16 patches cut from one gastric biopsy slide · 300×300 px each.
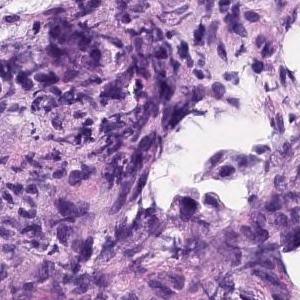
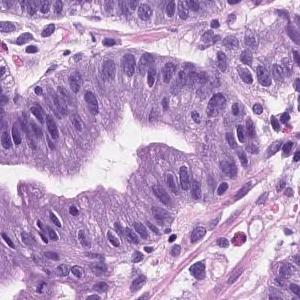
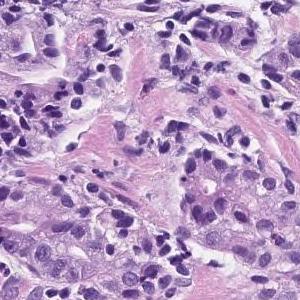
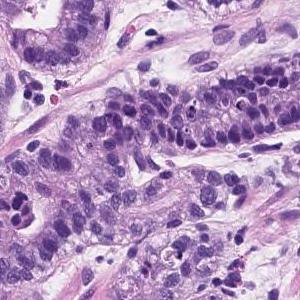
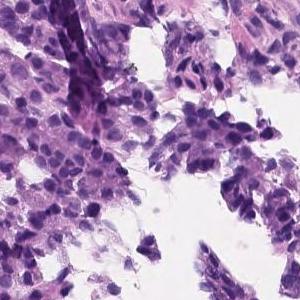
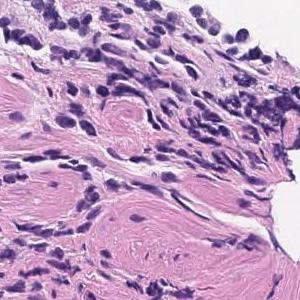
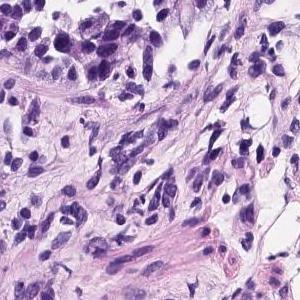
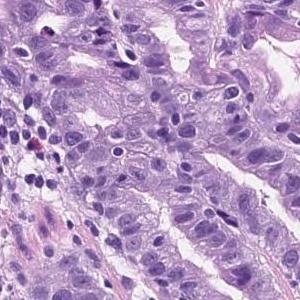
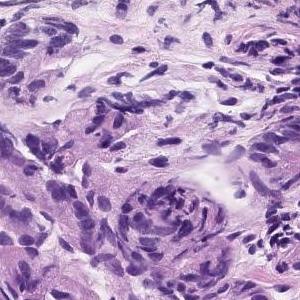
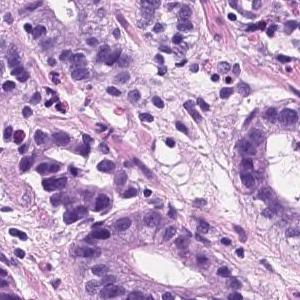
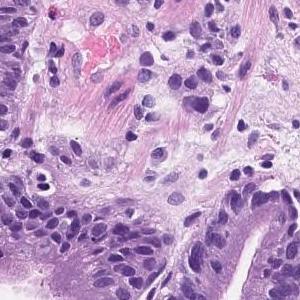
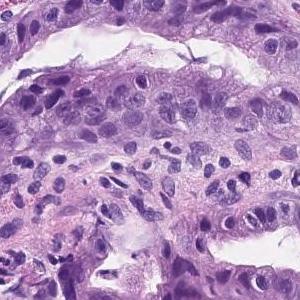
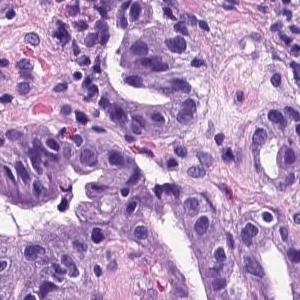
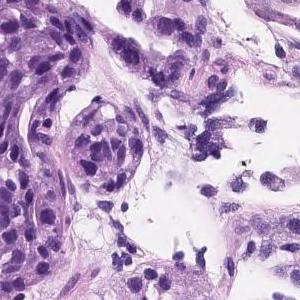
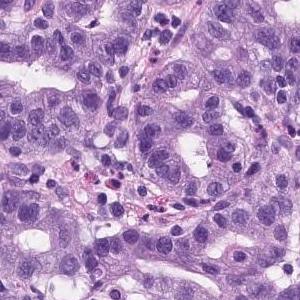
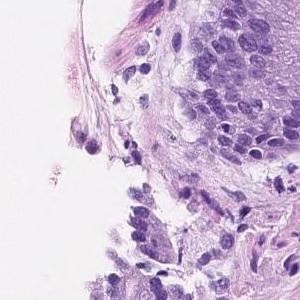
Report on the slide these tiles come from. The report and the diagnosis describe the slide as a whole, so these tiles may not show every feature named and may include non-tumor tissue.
Tumor tissue consisting of medium-sized and irregular ducts is observed infiltrating in the superficial epithelium. Tumor cells are highly columnar, with nuclei aligned basolaterally and polarized. Well differentiated tubular adenocarcinoma.
